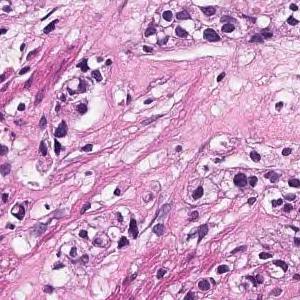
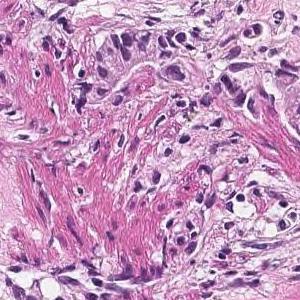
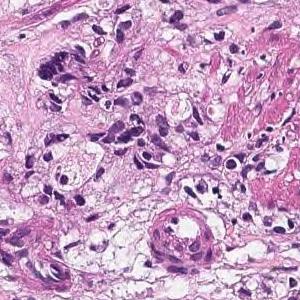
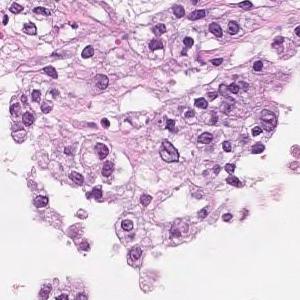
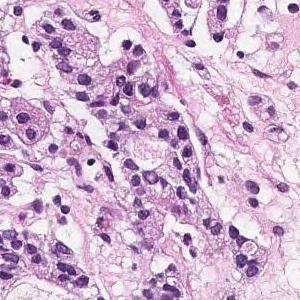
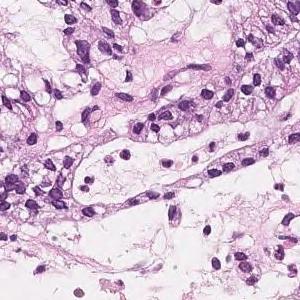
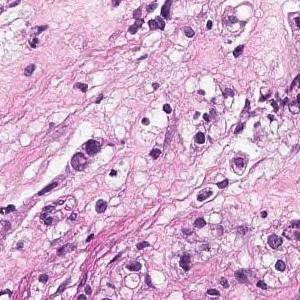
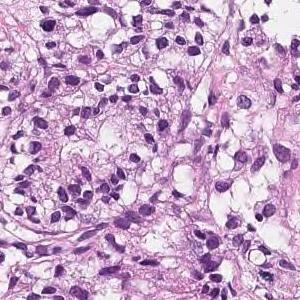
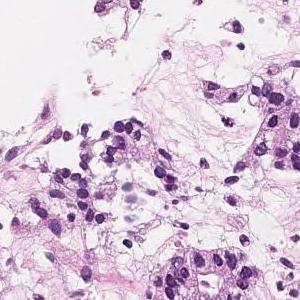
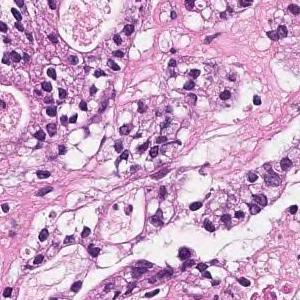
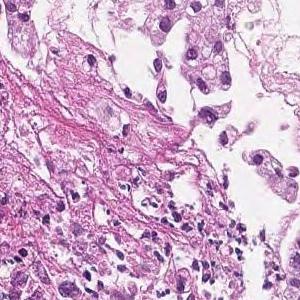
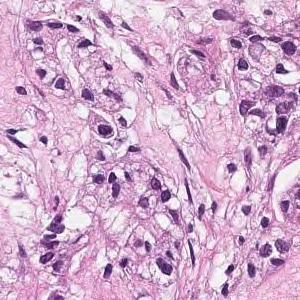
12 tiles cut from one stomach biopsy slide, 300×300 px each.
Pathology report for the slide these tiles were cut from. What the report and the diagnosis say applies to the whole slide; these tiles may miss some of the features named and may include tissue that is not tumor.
In the superficial epithelium, tumor tissue that invades by forming medium-sized to small, irregular ducts is observed. moderately differentiated tubular adenocarcinoma.
